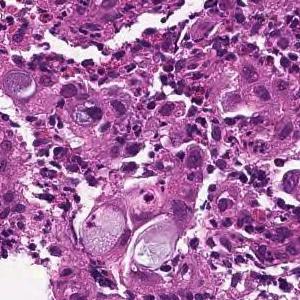
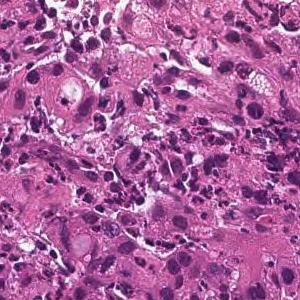
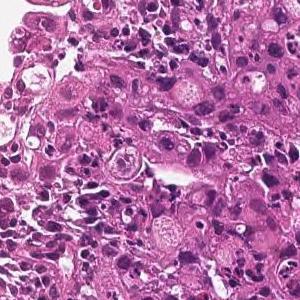
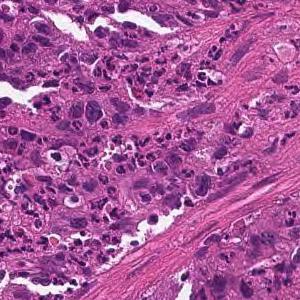
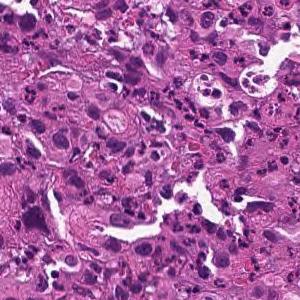
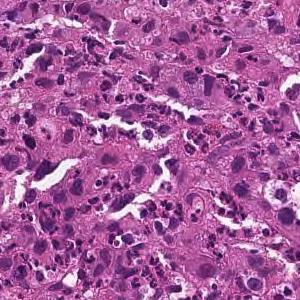
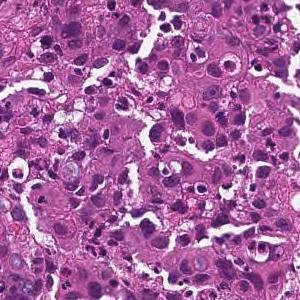
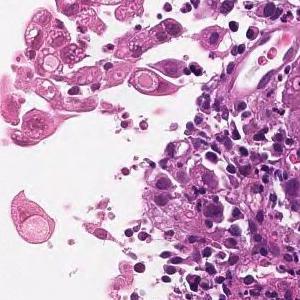
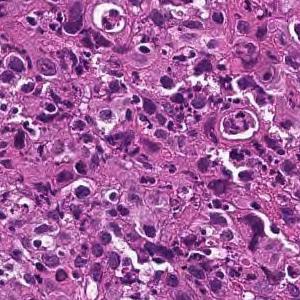
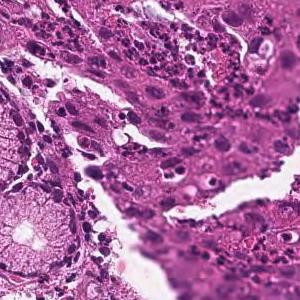
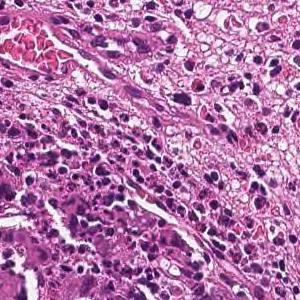
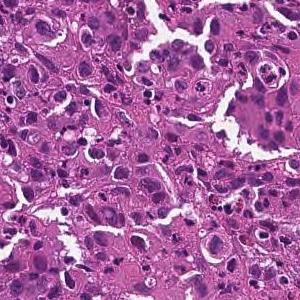
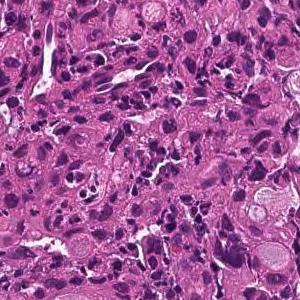
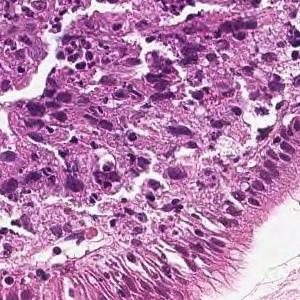
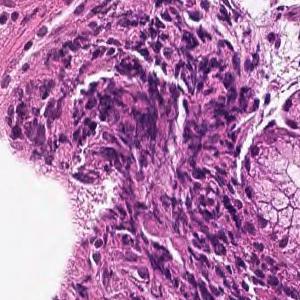
20× magnification, H&E stain, 15 image tiles from a single gastric biopsy slide.
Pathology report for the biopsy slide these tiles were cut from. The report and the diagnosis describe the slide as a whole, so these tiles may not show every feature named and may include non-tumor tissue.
The superficial epithelium shows a large sheet-like shape, and some tumor tissue infiltrates with small irregular ducts. Poorly differentiated adenocarcinoma, solid-type
Histological subtype: Poorly differentiated adenocarcinoma, solid type. This name comes from the Japanese Classification of Gastric Carcinoma; the WHO 2019 classification calls it tubular adenocarcinoma, poorly differentiated.
